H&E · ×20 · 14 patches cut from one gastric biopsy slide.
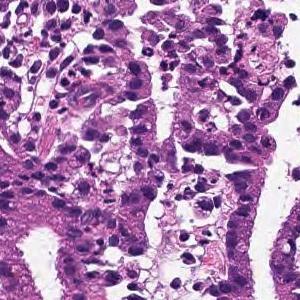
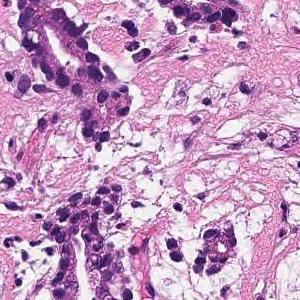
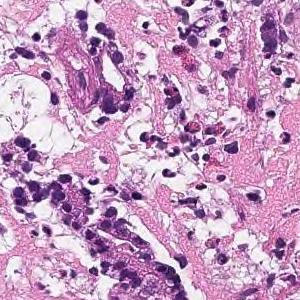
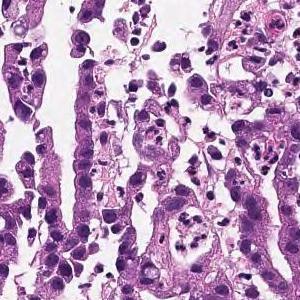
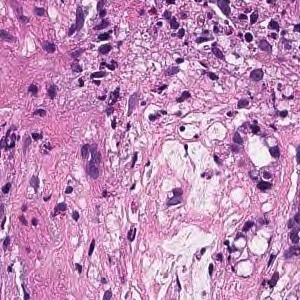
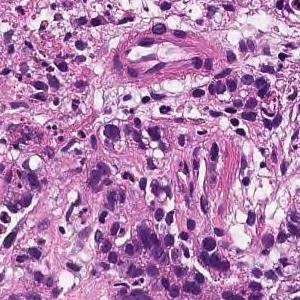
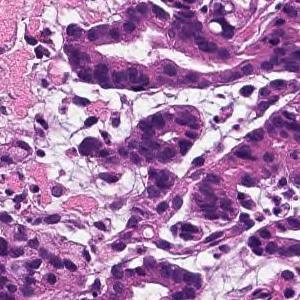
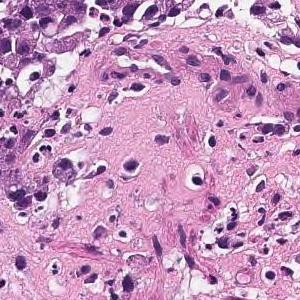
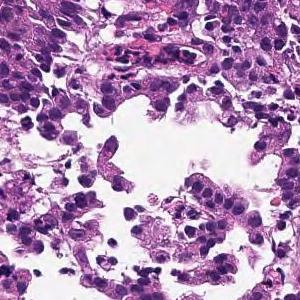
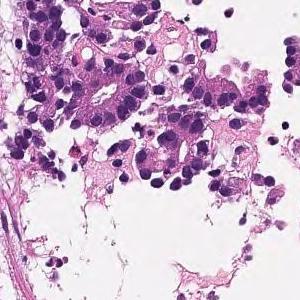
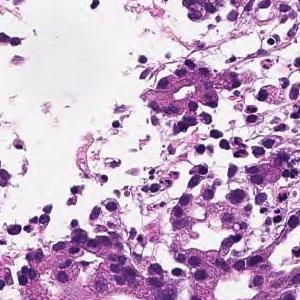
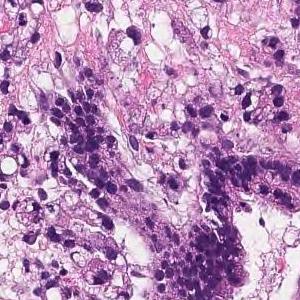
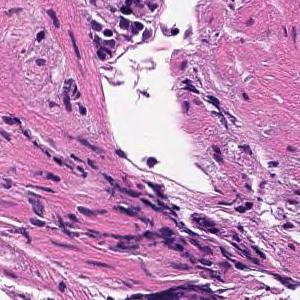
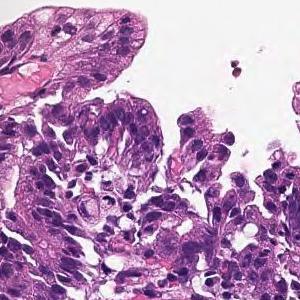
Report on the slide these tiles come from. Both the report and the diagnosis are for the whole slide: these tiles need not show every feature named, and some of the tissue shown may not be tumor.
In the superficial epithelium, tumor tissue that invades by forming medium-sized to small, irregular ducts is observed. moderately differentiated tubular adenocarcinoma.
